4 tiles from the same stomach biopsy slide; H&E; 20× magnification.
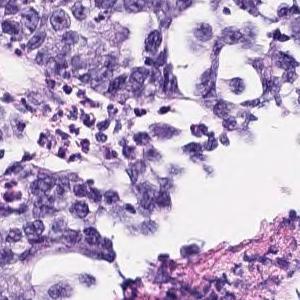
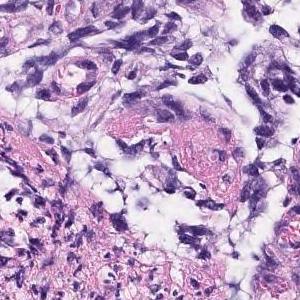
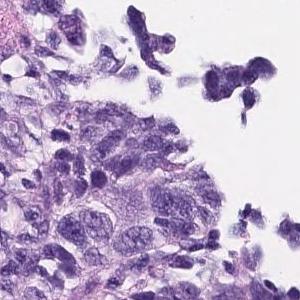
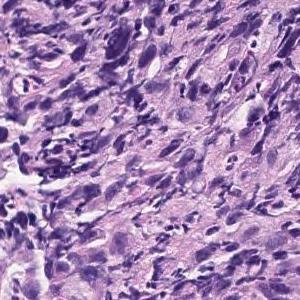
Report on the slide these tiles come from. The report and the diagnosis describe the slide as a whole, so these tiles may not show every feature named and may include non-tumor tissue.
The superficial epithelium shows a large sheet-like shape, and some tumor tissue infiltrates with small irregular ducts. Poorly differentiated adenocarcinoma, solid-type
Subtype: Poorly differentiated adenocarcinoma, solid type (Japanese Classification of Gastric Carcinoma). The WHO 2019 equivalent is tubular adenocarcinoma, poorly differentiated.
